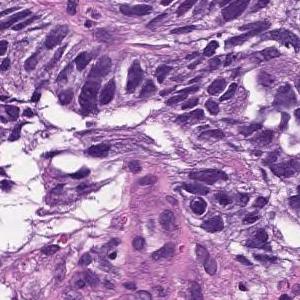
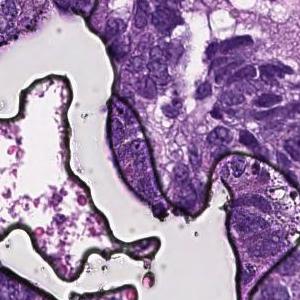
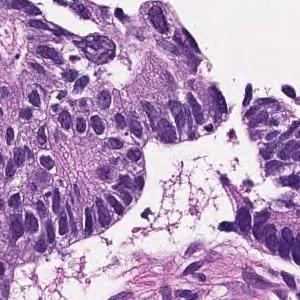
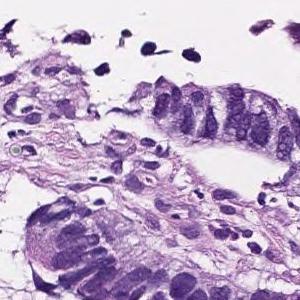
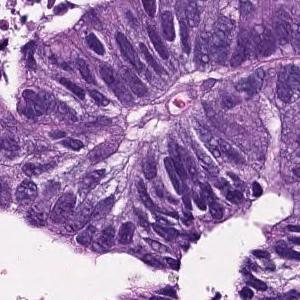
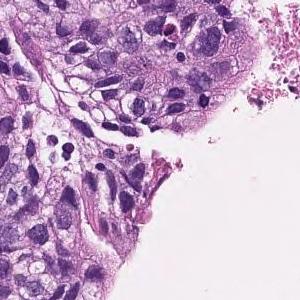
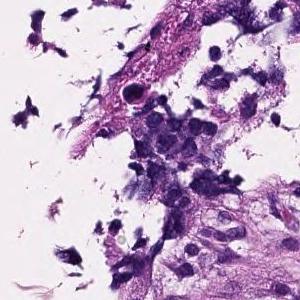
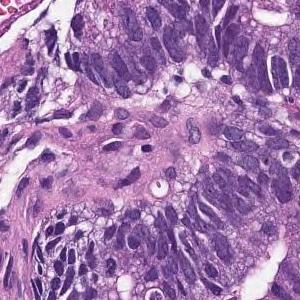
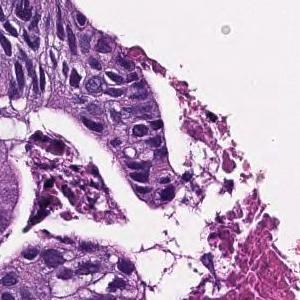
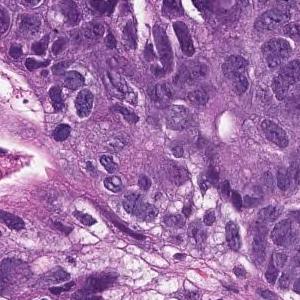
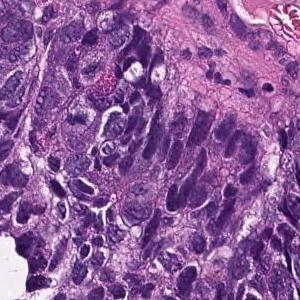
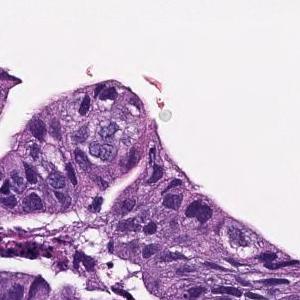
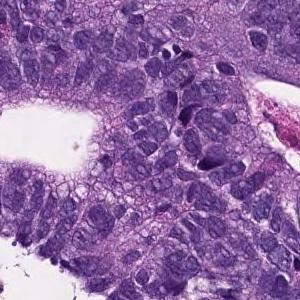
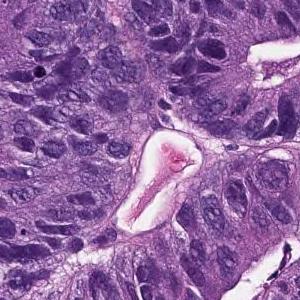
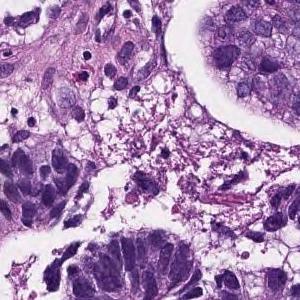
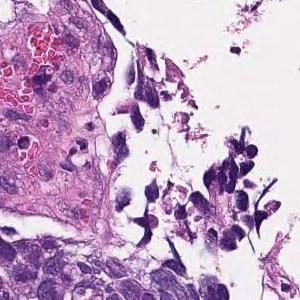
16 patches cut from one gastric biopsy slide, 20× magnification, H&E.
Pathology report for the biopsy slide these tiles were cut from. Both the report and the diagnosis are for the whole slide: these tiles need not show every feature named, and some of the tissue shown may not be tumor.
In the superficial epithelium, tumor tissue that invades by forming medium-sized to small, irregular ducts is observed. moderately differentiated tubular adenocarcinoma.
